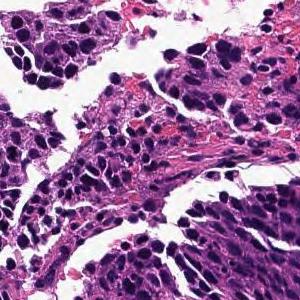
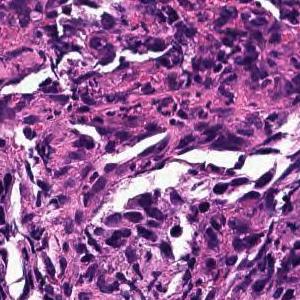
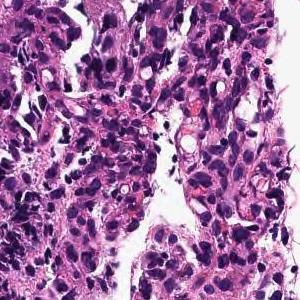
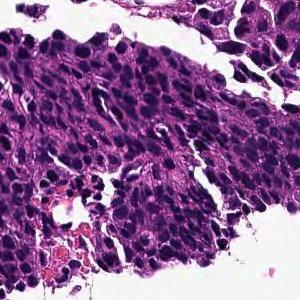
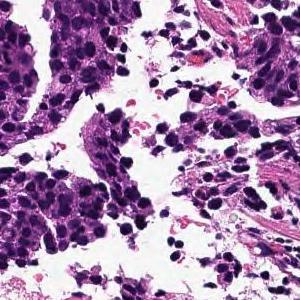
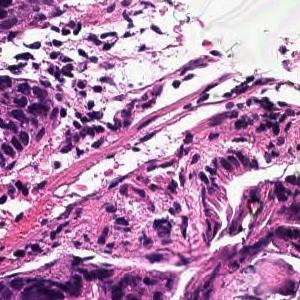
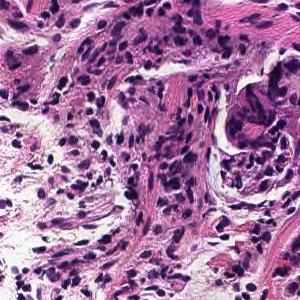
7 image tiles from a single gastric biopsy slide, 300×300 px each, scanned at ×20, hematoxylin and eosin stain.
The pathologist's report on the biopsy slide these tiles were taken from. Both the report and the diagnosis are for the whole slide: these tiles need not show every feature named, and some of the tissue shown may not be tumor.
In the superficial epithelium, tumor tissue that invades by forming medium-sized to small, irregular ducts is observed. moderately differentiated tubular adenocarcinoma.
